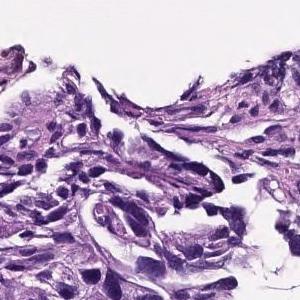
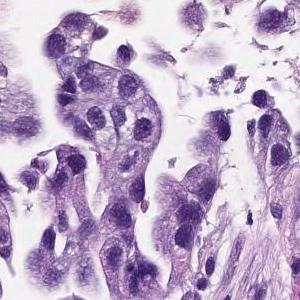
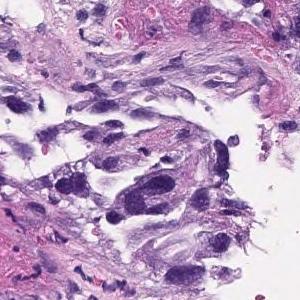
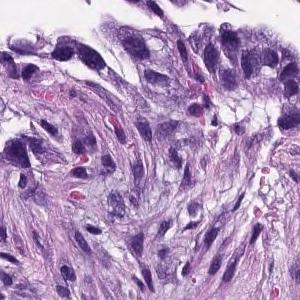
4 image tiles from a single gastric biopsy slide · 300 × 300 pixels each · hematoxylin and eosin stain · 20× magnification.
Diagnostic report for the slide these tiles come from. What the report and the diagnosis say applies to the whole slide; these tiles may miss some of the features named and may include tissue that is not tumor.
gastric mucosal tissue with atypical glandular proliferation arranged in tubules and acini. The tumor cells showed hyperchromatic nuclei, high N/C ratio and loss of polarity. Tubular adenocarcinoma of stomach, moderately differentiated.
Histologic type: Moderately differentiated tubular adenocarcinoma.
